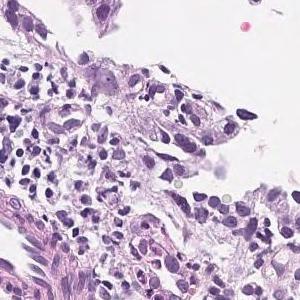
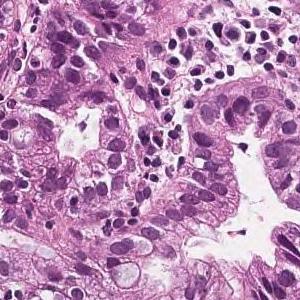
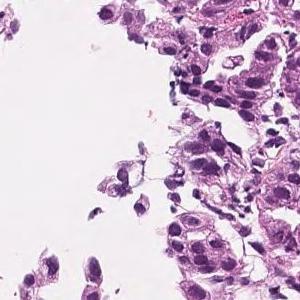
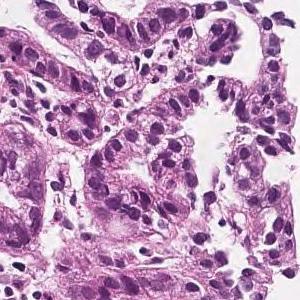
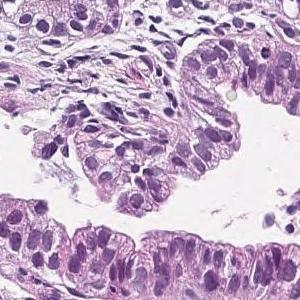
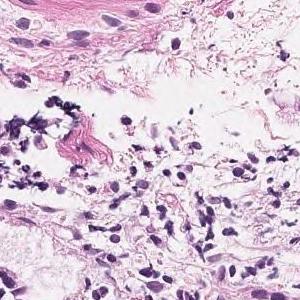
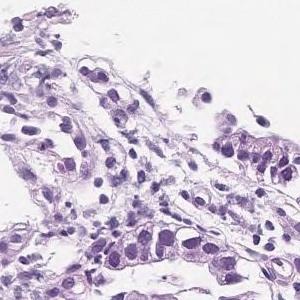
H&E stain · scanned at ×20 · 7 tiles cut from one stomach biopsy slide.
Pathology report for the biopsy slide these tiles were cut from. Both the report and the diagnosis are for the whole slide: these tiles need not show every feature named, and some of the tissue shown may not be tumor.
In the superficial epithelium, tumor tissue that invades by forming medium-sized to small, irregular ducts is observed. moderately differentiated tubular adenocarcinoma.
